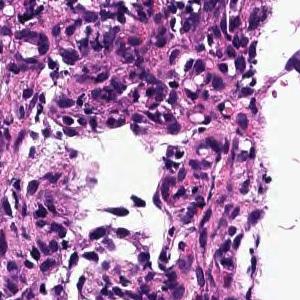
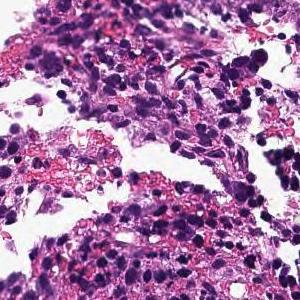
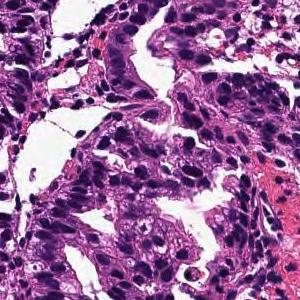
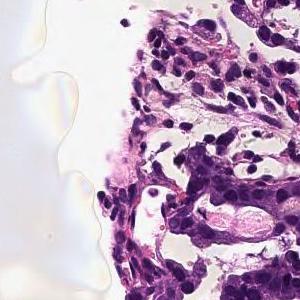
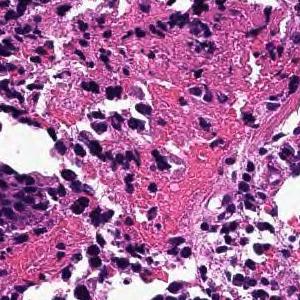
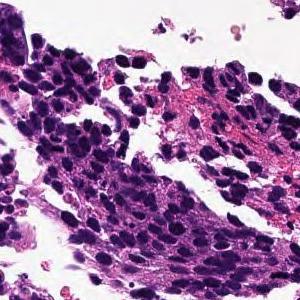
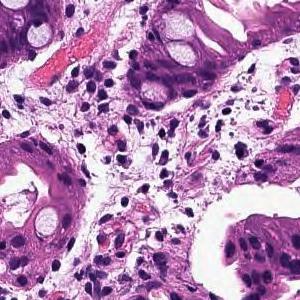
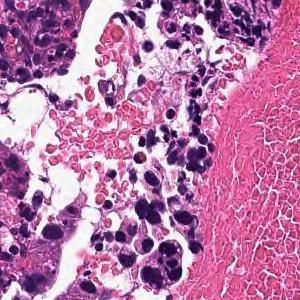
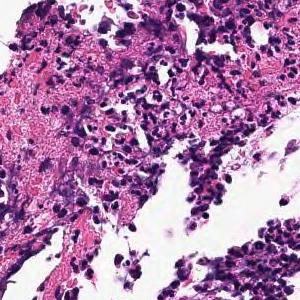
Hematoxylin and eosin stain · 20× magnification · 9 tiles cut from one stomach biopsy slide · 300×300 px each.
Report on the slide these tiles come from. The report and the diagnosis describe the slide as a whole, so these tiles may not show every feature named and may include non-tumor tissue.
In the superficial epithelium, tumor tissue that invades by forming medium-sized to small, irregular ducts is observed. moderately differentiated tubular adenocarcinoma.
